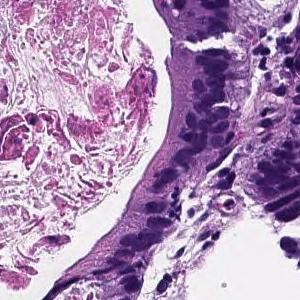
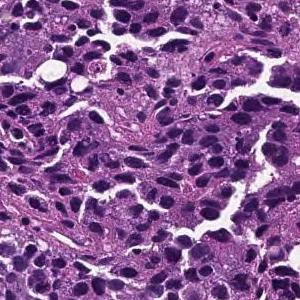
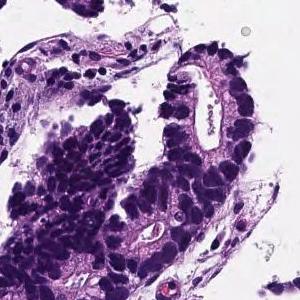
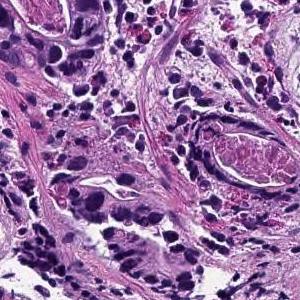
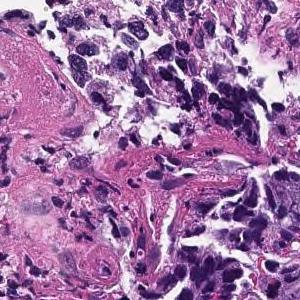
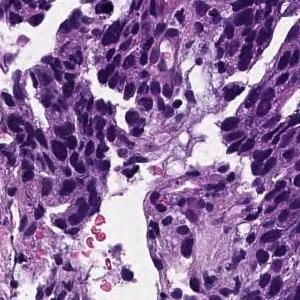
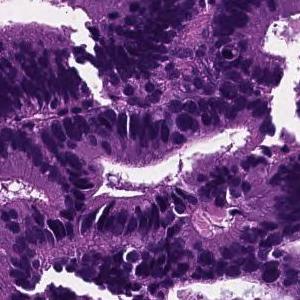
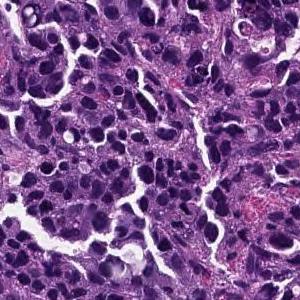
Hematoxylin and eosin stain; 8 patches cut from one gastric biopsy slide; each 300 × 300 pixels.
Pathology report for the slide these tiles were cut from. Both the report and the diagnosis are for the whole slide: these tiles need not show every feature named, and some of the tissue shown may not be tumor.
From the superficial epithelium to the muscularis mucosae, tumor tissue consisting of medium-sized and irregular glandular ducts infiltrating is observed. Well differentiated tubular adenocarcinoma
